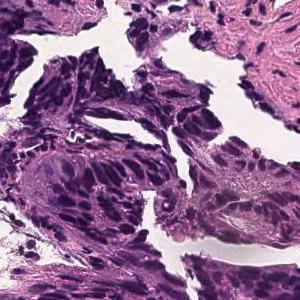
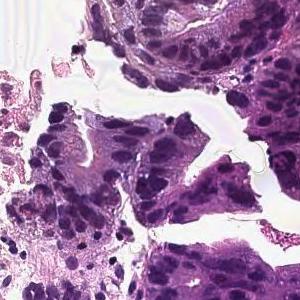
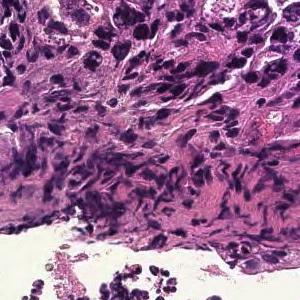
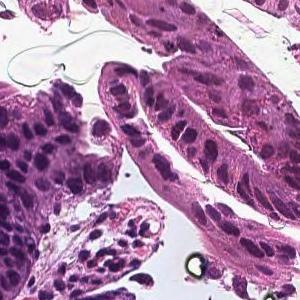
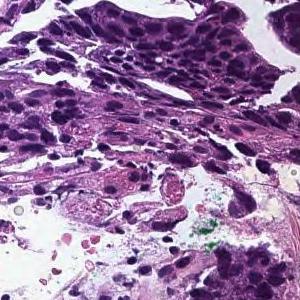
5 tiles from the same stomach biopsy slide, 300×300 px each.
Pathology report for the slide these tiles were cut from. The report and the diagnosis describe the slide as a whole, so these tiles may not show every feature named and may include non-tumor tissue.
In the superficial epithelium, tumor tissue that invades by forming medium-sized to small, irregular ducts is observed. moderately differentiated tubular adenocarcinoma.
